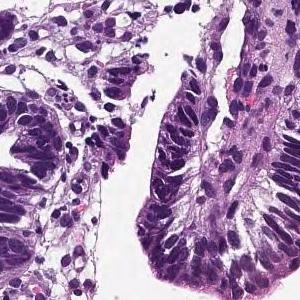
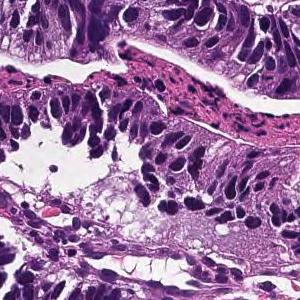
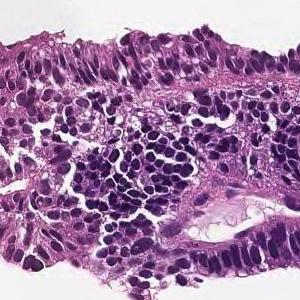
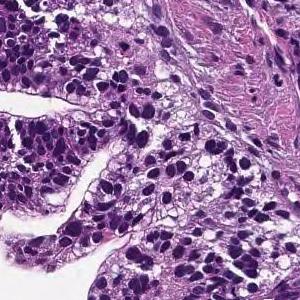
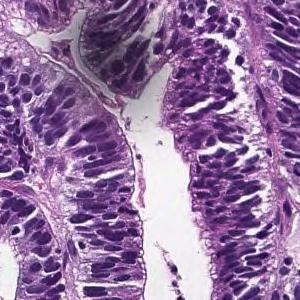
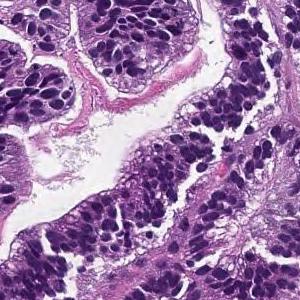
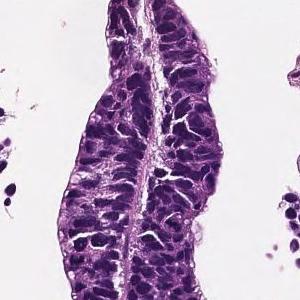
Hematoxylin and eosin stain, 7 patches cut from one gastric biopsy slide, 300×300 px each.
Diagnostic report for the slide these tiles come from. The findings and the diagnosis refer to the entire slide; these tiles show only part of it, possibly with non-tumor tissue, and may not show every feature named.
Tumor cells are large, highly columnar, large club-shaped nuclei, and are associated with chromatin aggregation. Papillary adenocarcinoma.
